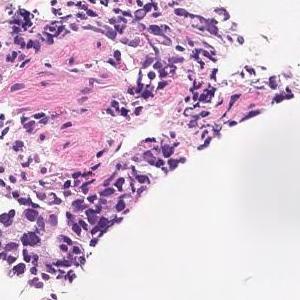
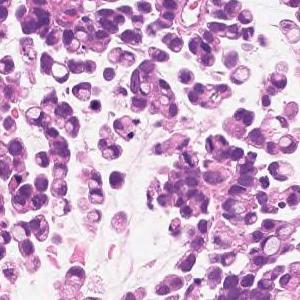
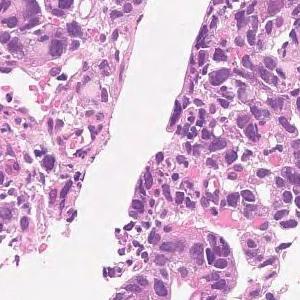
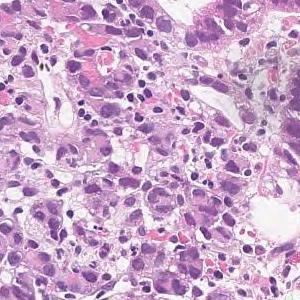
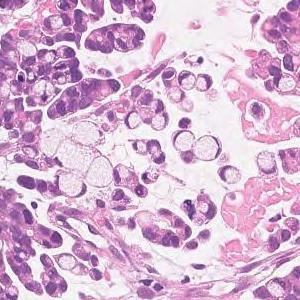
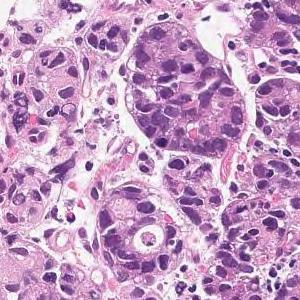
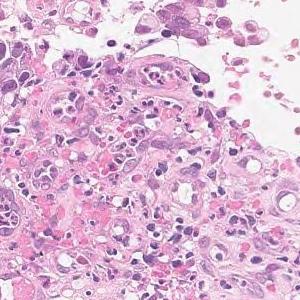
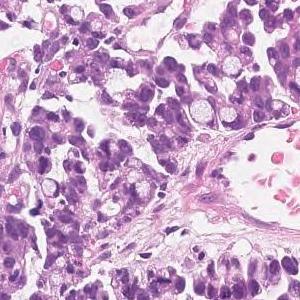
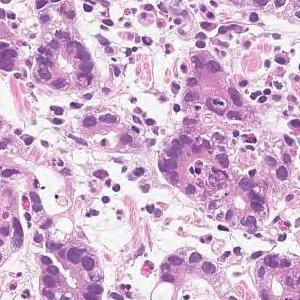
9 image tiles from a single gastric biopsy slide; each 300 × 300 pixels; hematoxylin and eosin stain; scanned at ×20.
Pathology report for the slide these tiles were cut from. The report and the diagnosis describe the slide as a whole, so these tiles may not show every feature named and may include non-tumor tissue.
Medium to small, irregular glandular ducts are formed in the superficial epithelium, and in some cases, the glandular ducts are fused to show solid alveolar lesions and infiltrating tumor tissue is observed. Moderately to poorly differentiated adenocarcinoma.
